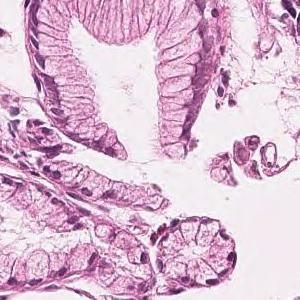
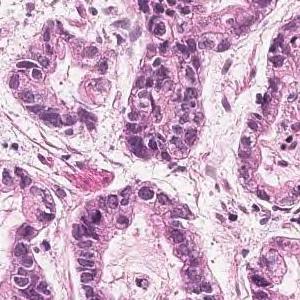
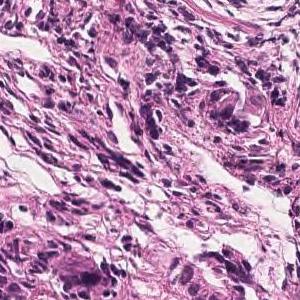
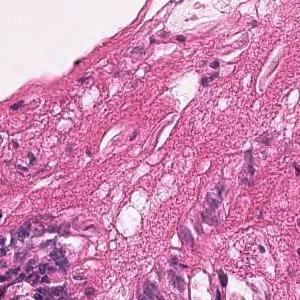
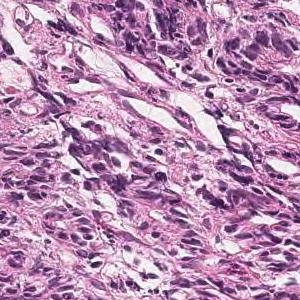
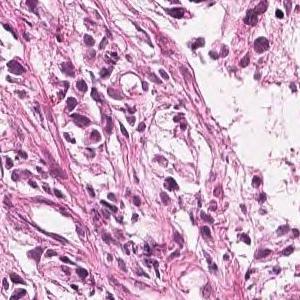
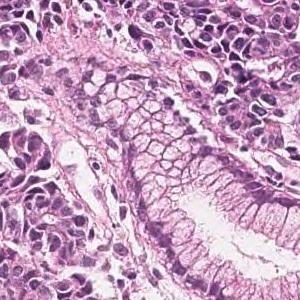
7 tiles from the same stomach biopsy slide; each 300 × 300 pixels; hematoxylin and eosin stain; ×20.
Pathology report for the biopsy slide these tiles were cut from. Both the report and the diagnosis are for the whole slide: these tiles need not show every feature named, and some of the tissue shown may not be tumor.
On the superficial epithelium, tumor tissue consisting of large, irregular glandular ducts partially fused and infiltrated is observed. Well to moderately differentiated tubular adenocarcinoma (well differentiated tubular adenocarcinoma, moderately differentiated tubular adenocarcinoma)
Histologic type: Well to moderately differentiated tubular adenocarcinoma.
